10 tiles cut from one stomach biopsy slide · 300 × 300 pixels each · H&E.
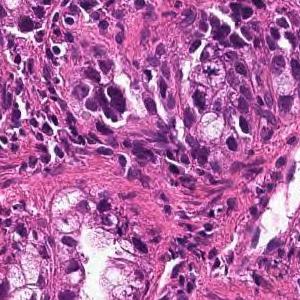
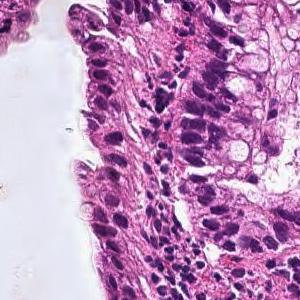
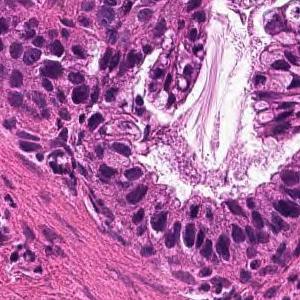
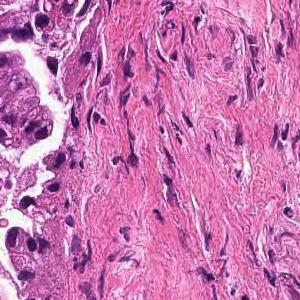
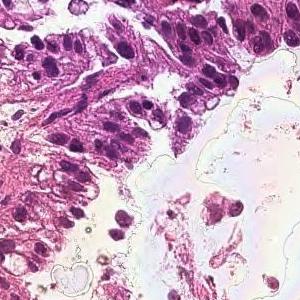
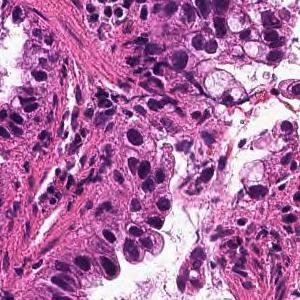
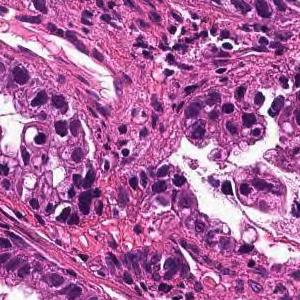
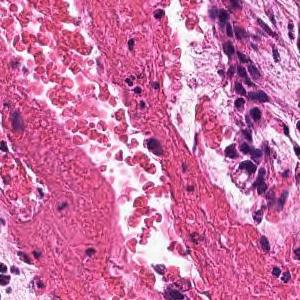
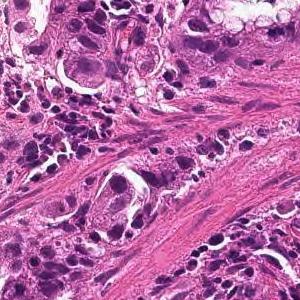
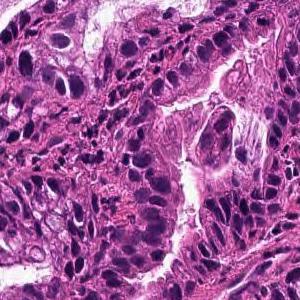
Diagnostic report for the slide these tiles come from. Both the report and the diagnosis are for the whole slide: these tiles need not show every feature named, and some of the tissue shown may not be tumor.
From the superficial epithelium to the muscularis mucosae, tumor tissue infiltrating by forming medium-sized irregular gland ducts is observed. Well differentiated tubular adenocarcinoma
